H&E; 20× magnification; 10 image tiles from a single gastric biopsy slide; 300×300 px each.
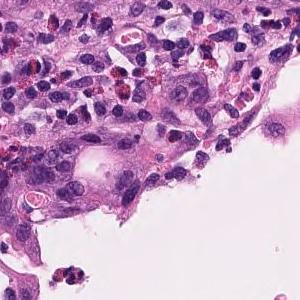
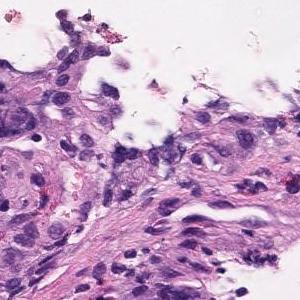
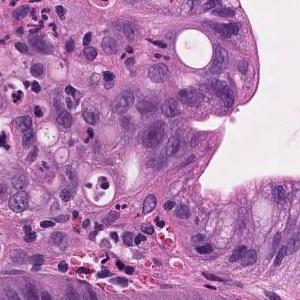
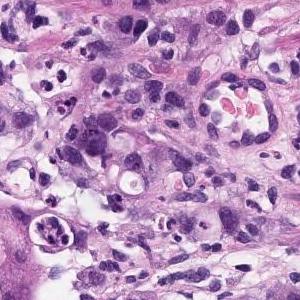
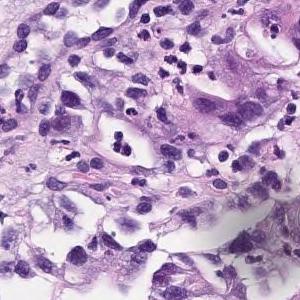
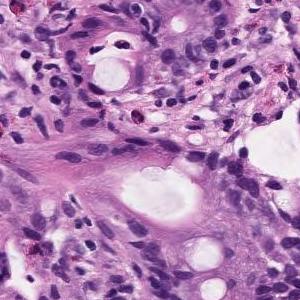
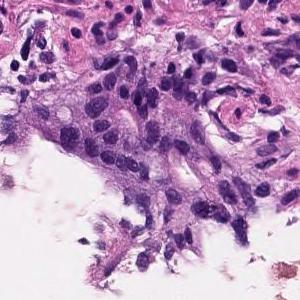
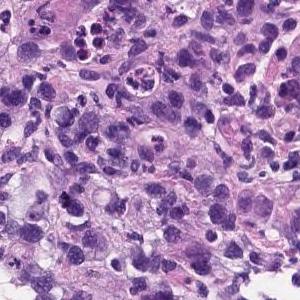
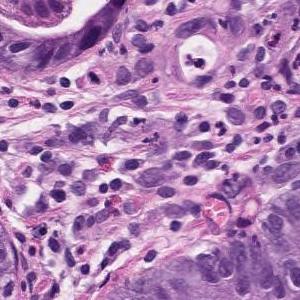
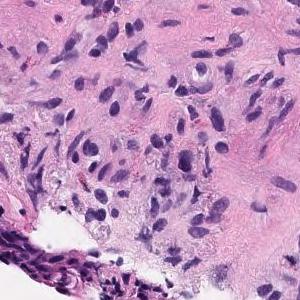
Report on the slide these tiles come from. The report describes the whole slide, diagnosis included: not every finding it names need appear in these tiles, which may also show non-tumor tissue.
moderately differentiated tubular adenocarcinoma, Poorly differentiated adenocarcinoma
The dataset labels this slide poorly differentiated adenocarcinoma, solid type, a category of the Japanese Classification of Gastric Carcinoma; in the WHO 2019 classification it is tubular adenocarcinoma, poorly differentiated.
